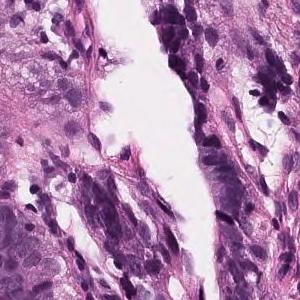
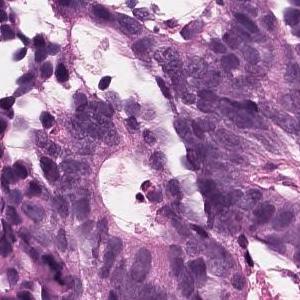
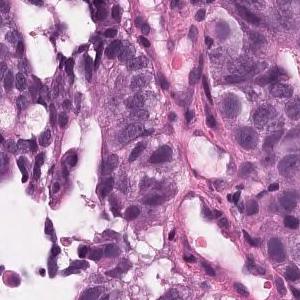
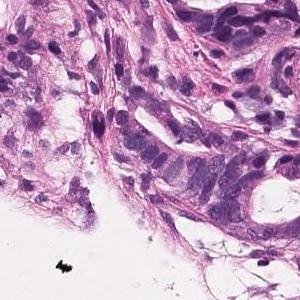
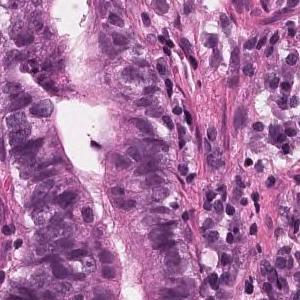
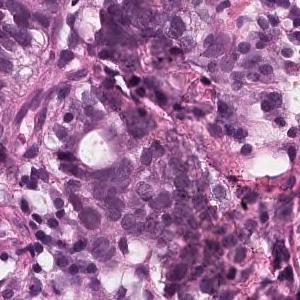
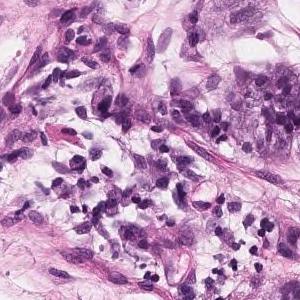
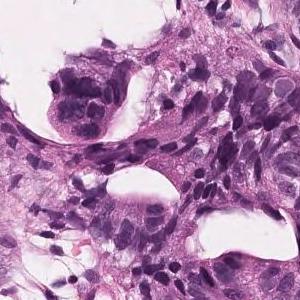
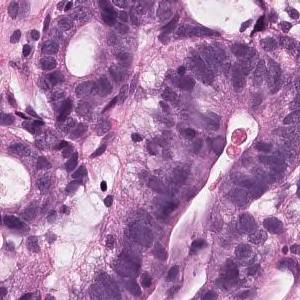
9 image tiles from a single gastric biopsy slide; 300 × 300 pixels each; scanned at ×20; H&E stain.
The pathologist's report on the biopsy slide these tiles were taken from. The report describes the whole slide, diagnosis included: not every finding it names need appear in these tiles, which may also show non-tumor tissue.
On the superficial epithelium, tumor tissue consisting of large, irregular glandular ducts partially fused and infiltrated is observed. Well to moderately differentiated tubular adenocarcinoma (well differentiated tubular adenocarcinoma, moderately differentiated tubular adenocarcinoma)
Histologic type: Well to moderately differentiated tubular adenocarcinoma.
